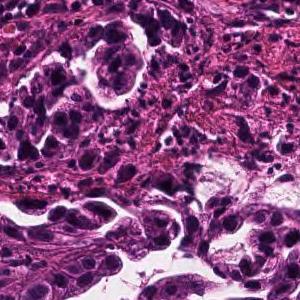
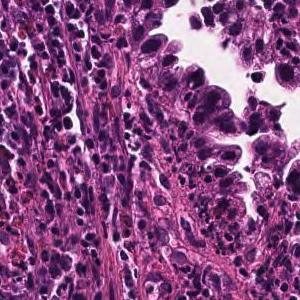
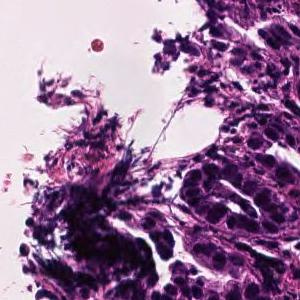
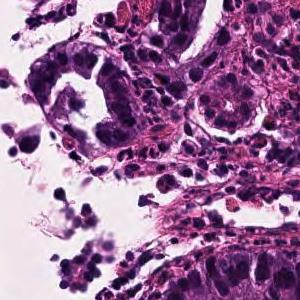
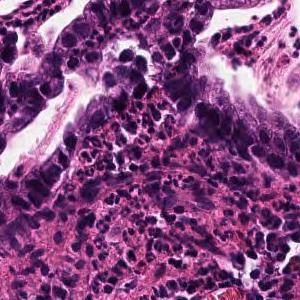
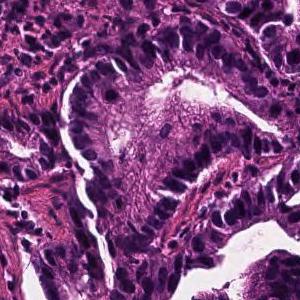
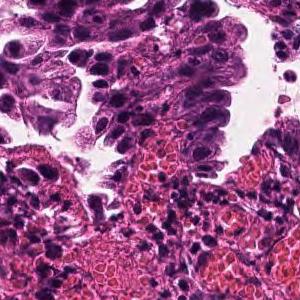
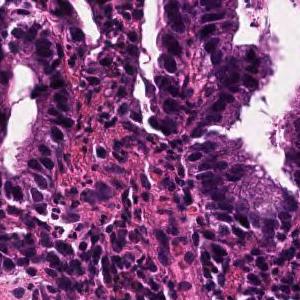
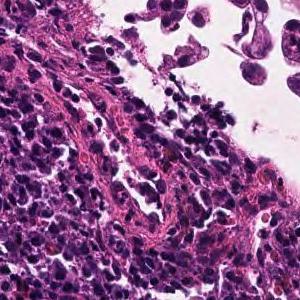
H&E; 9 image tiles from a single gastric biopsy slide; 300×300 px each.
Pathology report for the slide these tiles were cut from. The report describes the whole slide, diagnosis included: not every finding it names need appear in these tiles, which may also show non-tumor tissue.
Tumor tissue consisting of large papillary structures is found in the superficial epithelium. Papillary adenocarcinoma.
